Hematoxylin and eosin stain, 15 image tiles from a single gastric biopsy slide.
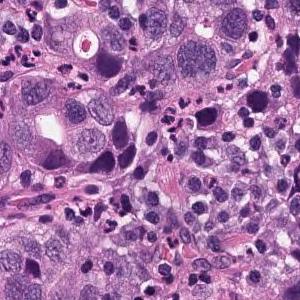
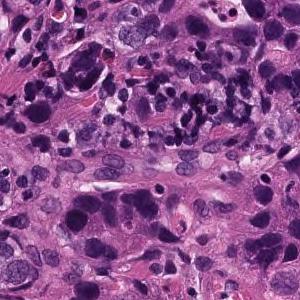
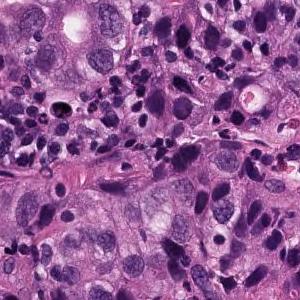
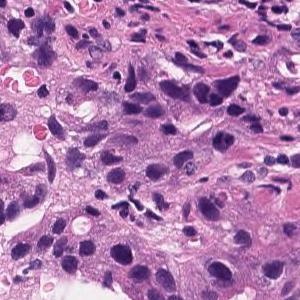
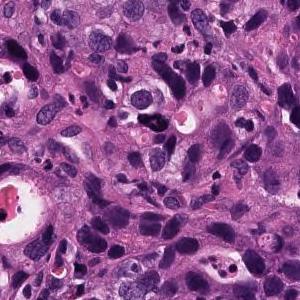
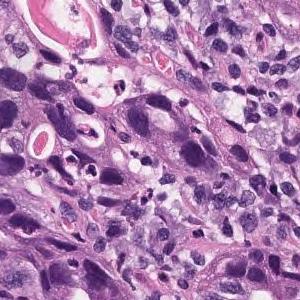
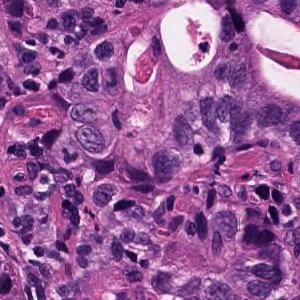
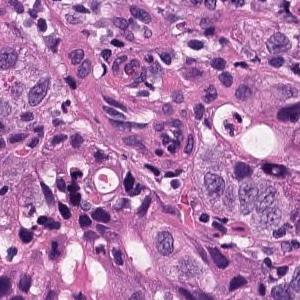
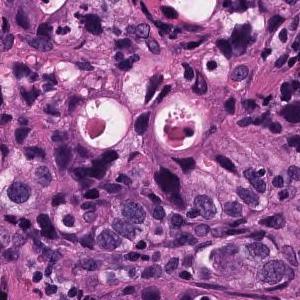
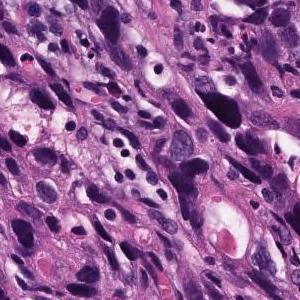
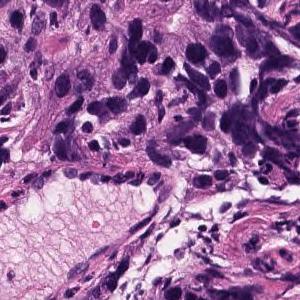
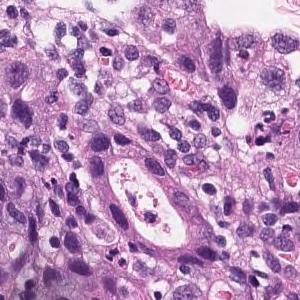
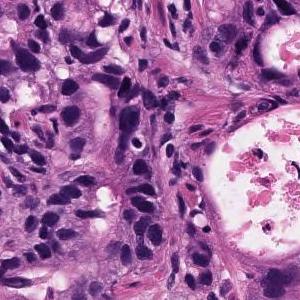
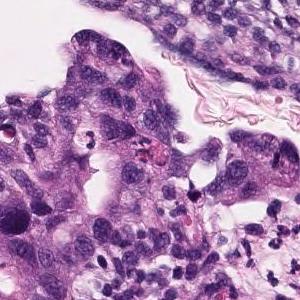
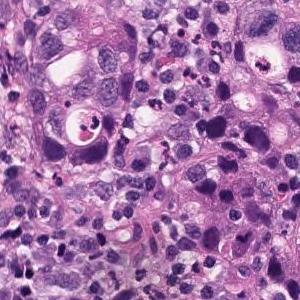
Pathology report for the biopsy slide these tiles were cut from. Both the report and the diagnosis are for the whole slide: these tiles need not show every feature named, and some of the tissue shown may not be tumor.
In the superficial epithelium, tumor tissue that invades by forming medium-sized to small, irregular ducts is observed. Moderately differentiated adenocarcinoma.
Classified as moderately differentiated tubular adenocarcinoma.
